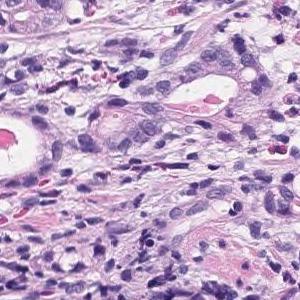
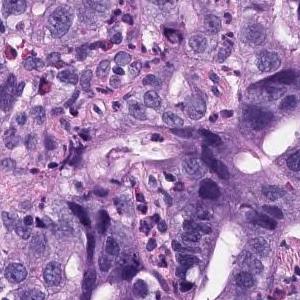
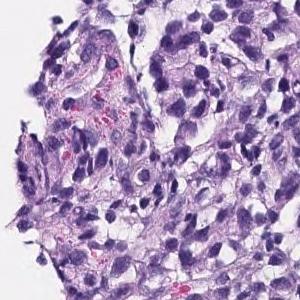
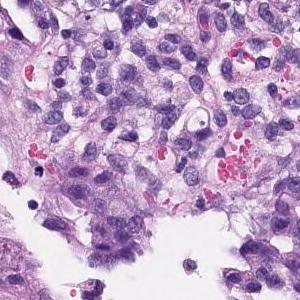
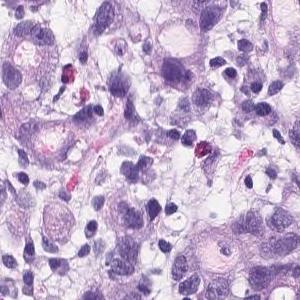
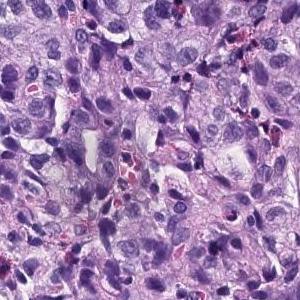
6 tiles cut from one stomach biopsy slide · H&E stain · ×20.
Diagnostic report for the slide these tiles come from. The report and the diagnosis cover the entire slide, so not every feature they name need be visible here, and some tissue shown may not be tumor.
There are atypical l cells with atypical nuclei forming cord-like or irregular atypical ducts from solidity and proliferating in a comprehensive manner. Poorly differentiated adenocarcinoma, Moderately differentiated adenocarcinoma (poorly differentiated adenocarcinoma, solid type moderately differentiated tubular adenocarcinoma)
Histological subtype: Moderately to poorly differentiated adenocarcinoma.
"Solid type" is a category of the Japanese Classification of Gastric Carcinoma; in the WHO 2019 classification it is tubular adenocarcinoma, poorly differentiated.
